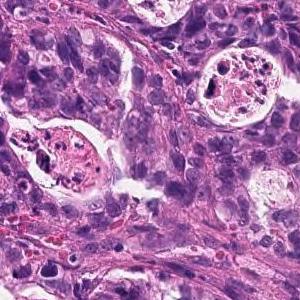
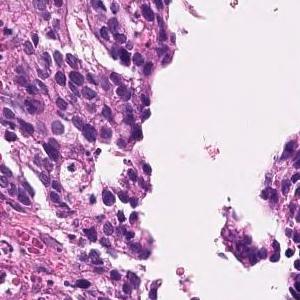
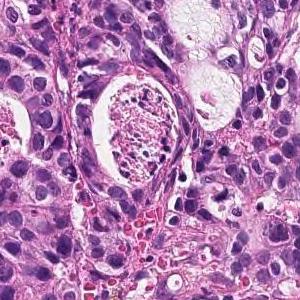
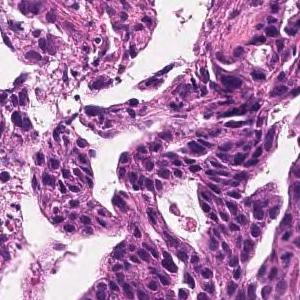
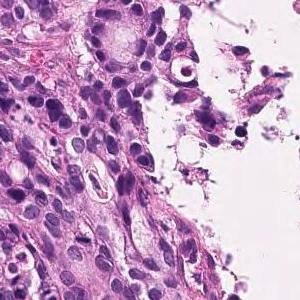
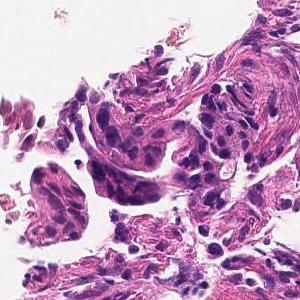
6 tiles from the same stomach biopsy slide · each 300 × 300 pixels · H&E stain · scanned at ×20.
The pathologist's report on the biopsy slide these tiles were taken from. Both the report and the diagnosis are for the whole slide: these tiles need not show every feature named, and some of the tissue shown may not be tumor.
On the superficial epithelium, tumor tissue consisting of images of small to medium-sized and irregular tubules infiltrating with irregular fusion is observed. moderately differentiated tubular adenocarcinoma
